20× magnification, H&E stain, 4 tiles from the same stomach biopsy slide.
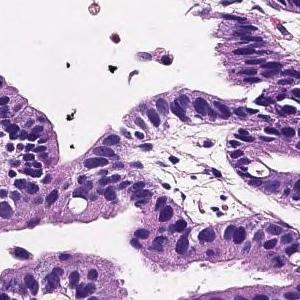
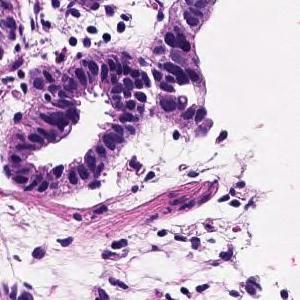
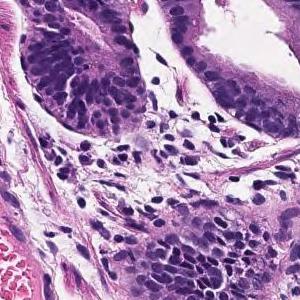
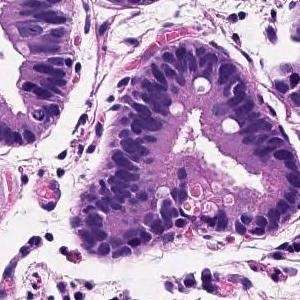
Pathology report for the biopsy slide these tiles were cut from. The report and the diagnosis cover the entire slide, so not every feature they name need be visible here, and some tissue shown may not be tumor.
Tumor cells are large, highly columnar, large club-shaped nuclei, and are associated with chromatin aggregation. Papillary adenocarcinoma.
